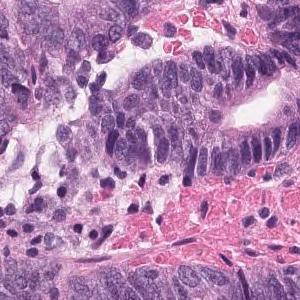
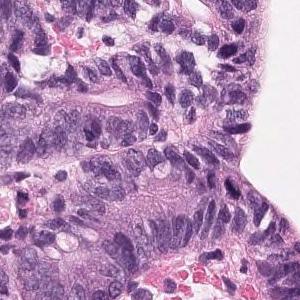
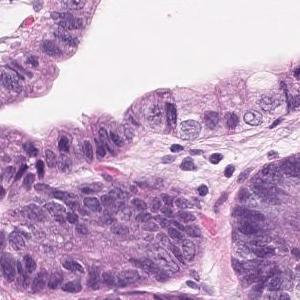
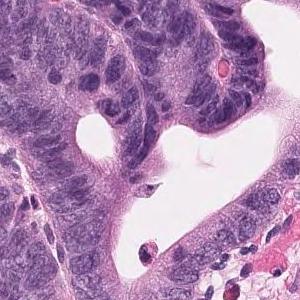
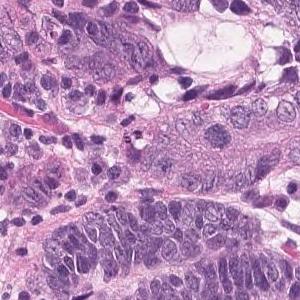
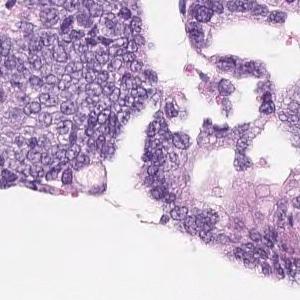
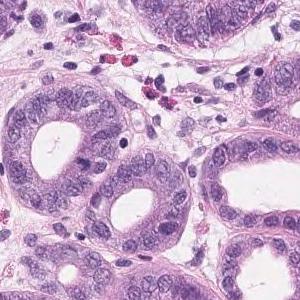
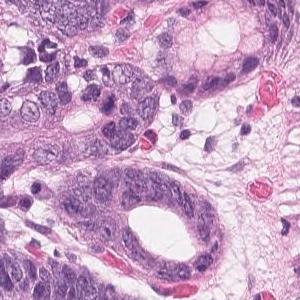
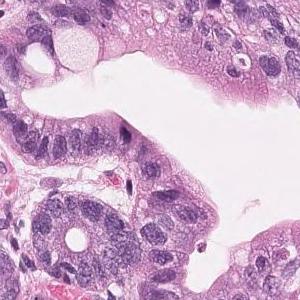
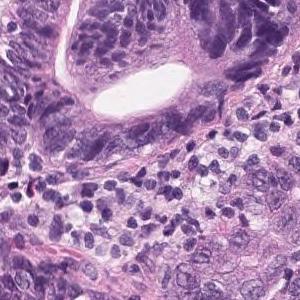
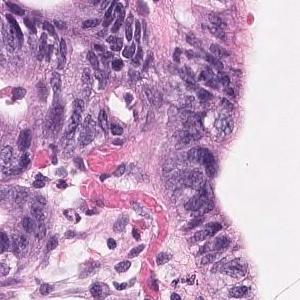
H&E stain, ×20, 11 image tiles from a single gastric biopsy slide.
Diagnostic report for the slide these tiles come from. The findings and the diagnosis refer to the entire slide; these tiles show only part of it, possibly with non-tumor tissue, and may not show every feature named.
Atypical ducts with severe atypia are densely populated in the superficial epithelium, and tumor tissue with hyperplasia is observed. Well differentiated tubular adenocarcinoma
